H&E, ×20, 11 tiles cut from one stomach biopsy slide, each 300 × 300 pixels.
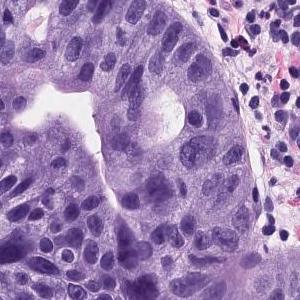
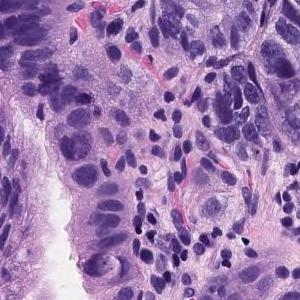
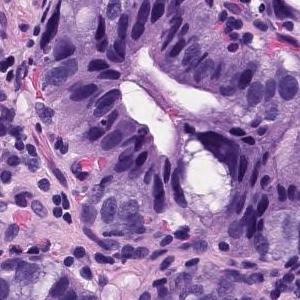
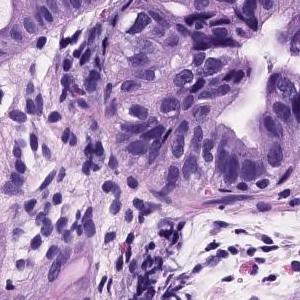
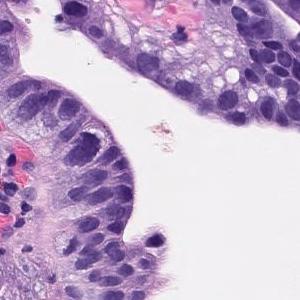
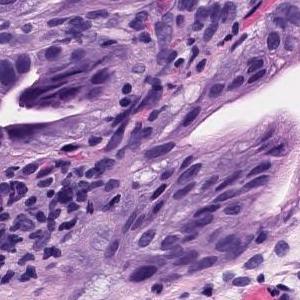
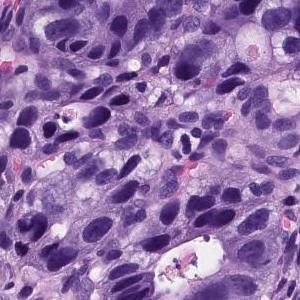
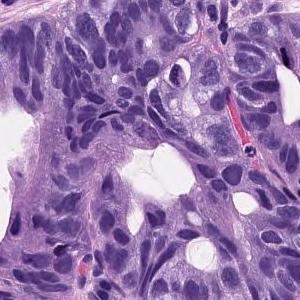
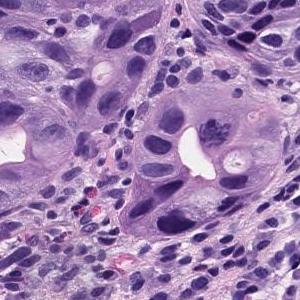
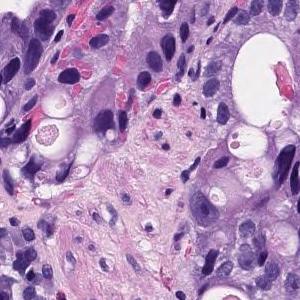
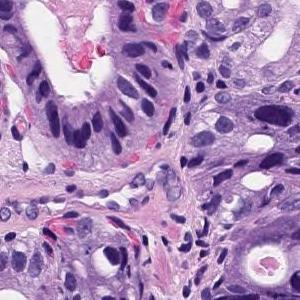
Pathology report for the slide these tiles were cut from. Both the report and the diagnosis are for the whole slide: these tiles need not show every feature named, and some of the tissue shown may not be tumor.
Proliferation of atypical tubules is observed in surface epithelium. Tubules form back-to-back structure. Tubules exhibit glandular budding, nuclear enlargement, cellular atypia. Well differentiated tubular adenocarcinoma.
